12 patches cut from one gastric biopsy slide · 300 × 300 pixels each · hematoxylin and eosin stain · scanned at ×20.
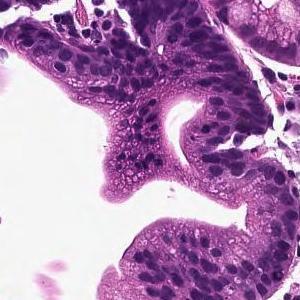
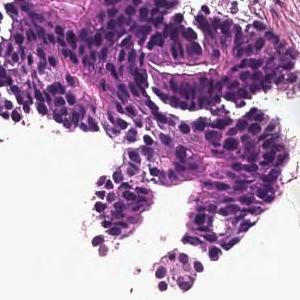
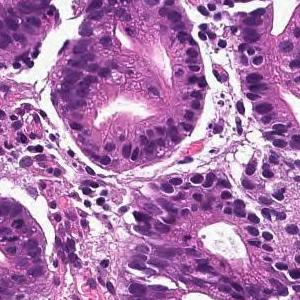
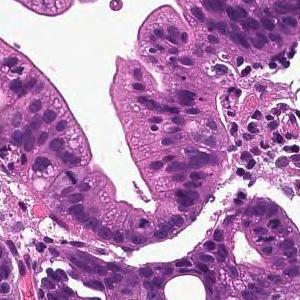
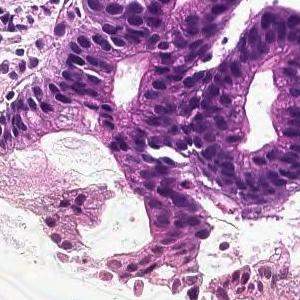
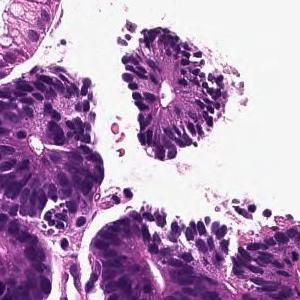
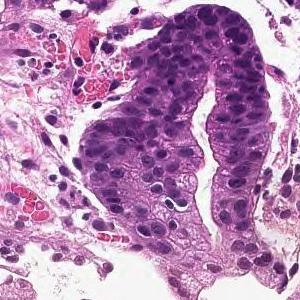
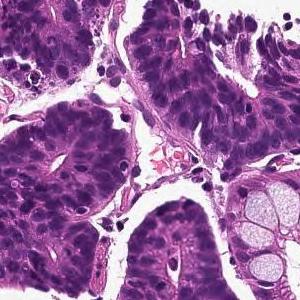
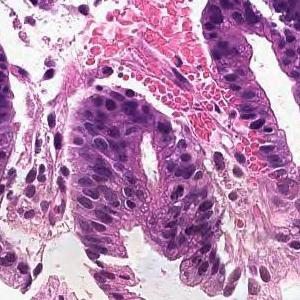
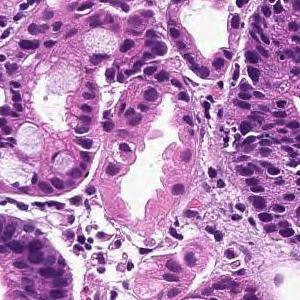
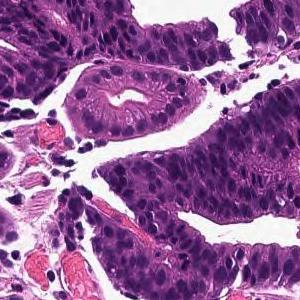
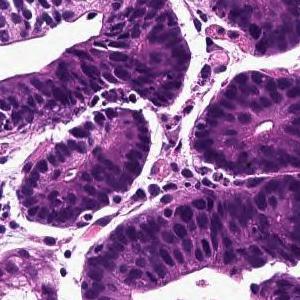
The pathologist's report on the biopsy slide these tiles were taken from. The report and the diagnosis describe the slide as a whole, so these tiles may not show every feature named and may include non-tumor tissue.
From the superficial epithelium to the muscularis mucosae, tumor tissue consisting of medium-sized and irregular glandular ducts infiltrating is observed. Well differentiated tubular adenocarcinoma
